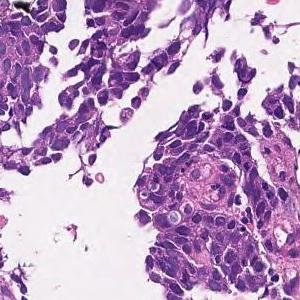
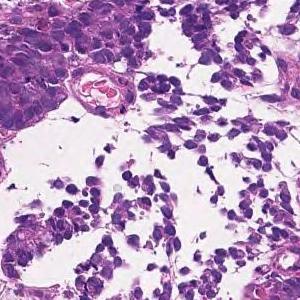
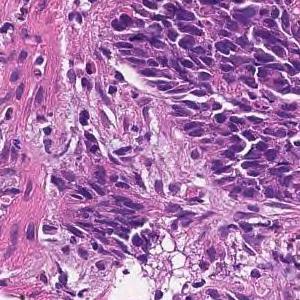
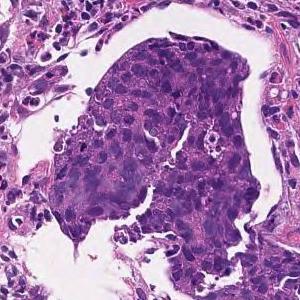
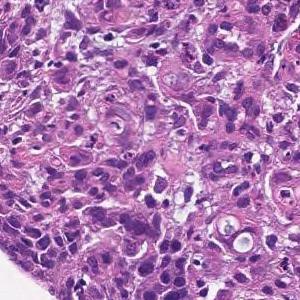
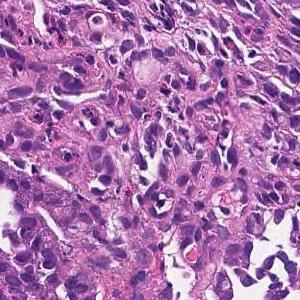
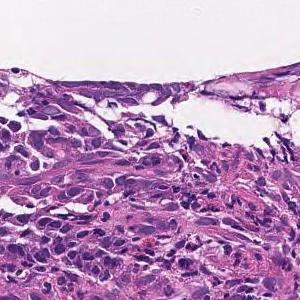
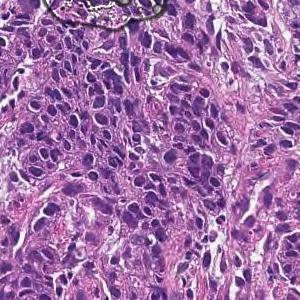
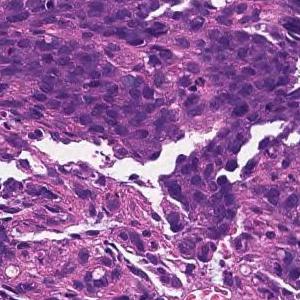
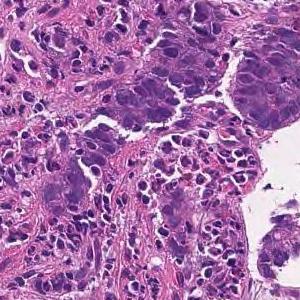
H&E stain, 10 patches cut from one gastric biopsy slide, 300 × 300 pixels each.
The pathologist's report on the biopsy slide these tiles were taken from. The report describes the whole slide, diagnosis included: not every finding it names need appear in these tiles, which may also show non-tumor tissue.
Tumor tissue consisting of cord-like or small, irregular glandular ducts fused and infiltrated is observed in the superficial epithelium. Poorly differentiated adenocarcinoma, non-solid type
The non-solid type named here is a Japanese Classification of Gastric Carcinoma category.
